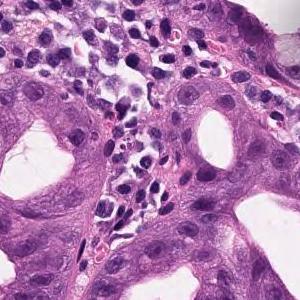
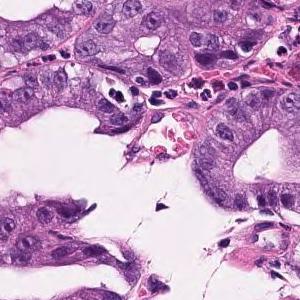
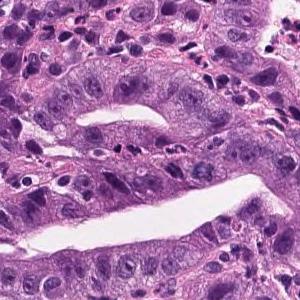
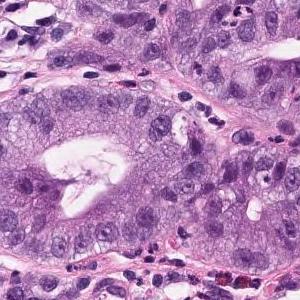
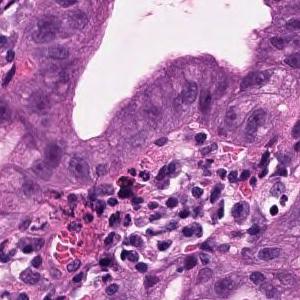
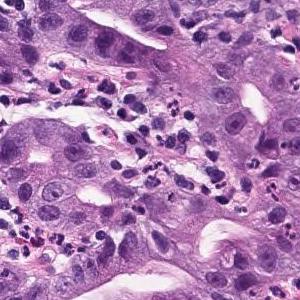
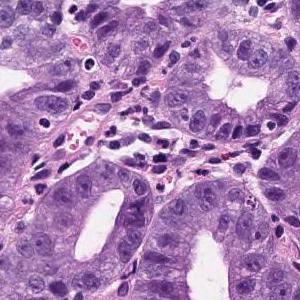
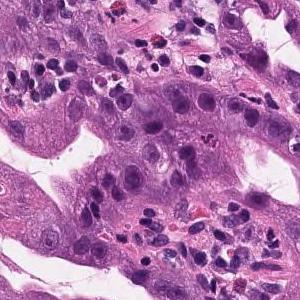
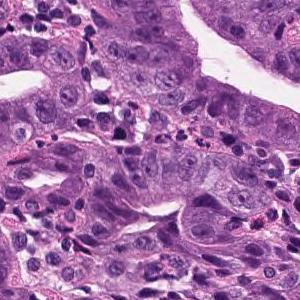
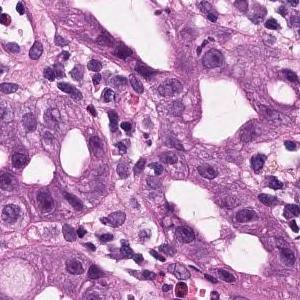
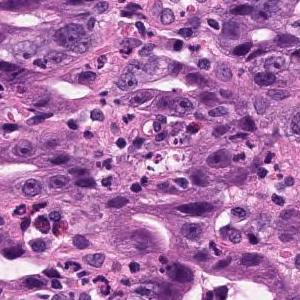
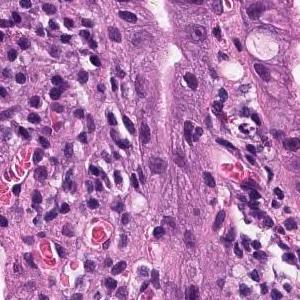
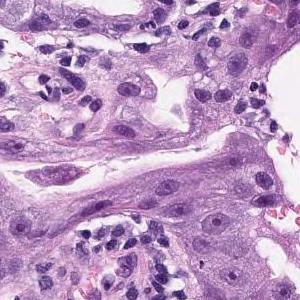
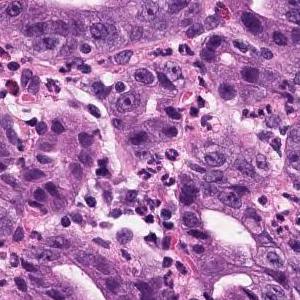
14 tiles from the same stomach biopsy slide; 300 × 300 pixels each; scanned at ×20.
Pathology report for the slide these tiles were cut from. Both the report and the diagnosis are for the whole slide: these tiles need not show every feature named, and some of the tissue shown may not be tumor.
In the superficial epithelium, tumor tissue that invades by forming medium-sized to small, irregular ducts is observed. Well to moderately differentiated adenocarcinoma (well differentiated tubular adenocarcinoma, moderately differentiated tubular adenocarcinoma).
Tumor subtype: well to moderately differentiated tubular adenocarcinoma.
